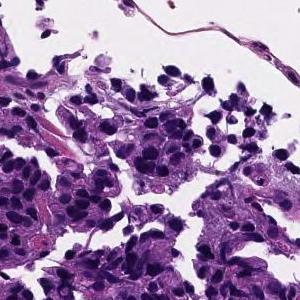
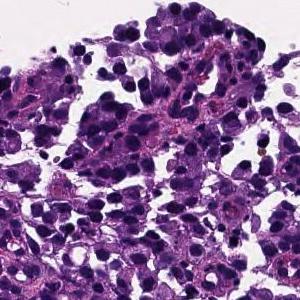
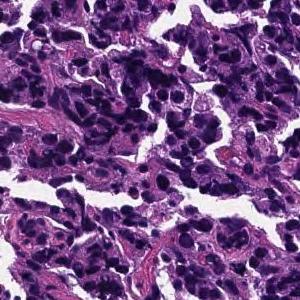
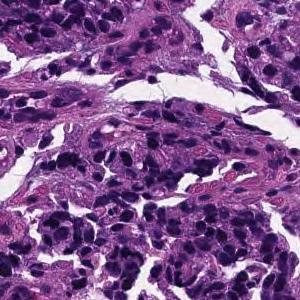
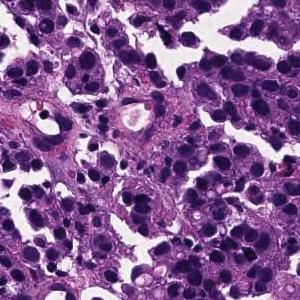
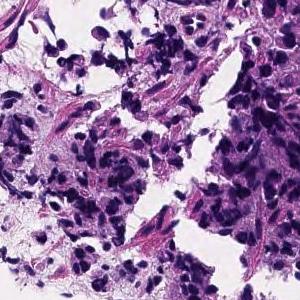
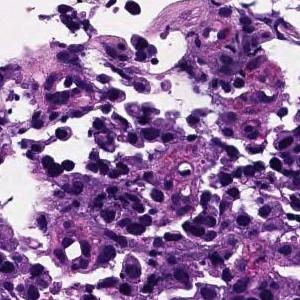
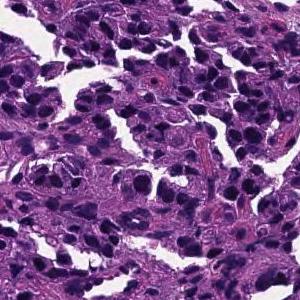
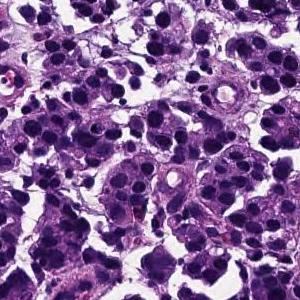
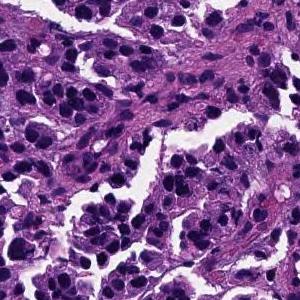
10 tiles cut from one stomach biopsy slide, hematoxylin and eosin stain, 20× magnification.
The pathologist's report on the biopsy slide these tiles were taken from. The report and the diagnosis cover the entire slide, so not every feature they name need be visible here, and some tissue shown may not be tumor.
The superficial epithelium shows a large alveolar shape and infiltrates tumor tissue. Poorly differentiated adenocarcinoma, solid-type
Histological subtype: Poorly differentiated adenocarcinoma, solid type. This name comes from the Japanese Classification of Gastric Carcinoma; the WHO 2019 classification calls it tubular adenocarcinoma, poorly differentiated.
